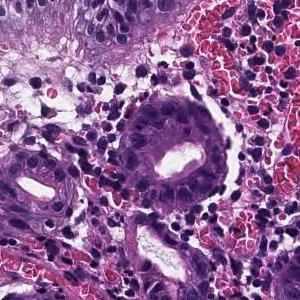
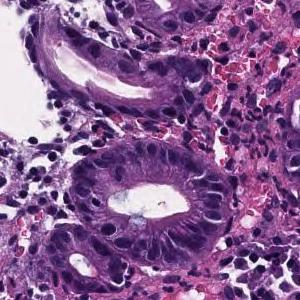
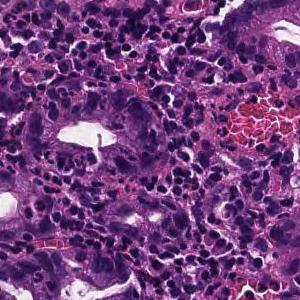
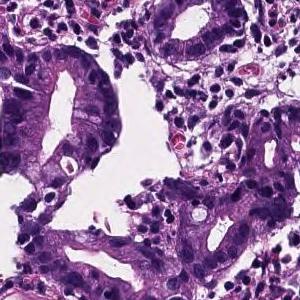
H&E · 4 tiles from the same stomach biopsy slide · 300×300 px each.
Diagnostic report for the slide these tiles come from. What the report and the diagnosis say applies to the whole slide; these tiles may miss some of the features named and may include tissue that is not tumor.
In the superficial epithelium, tumor tissue that invades by forming medium-sized to small, irregular ducts is observed. moderately differentiated tubular adenocarcinoma.
